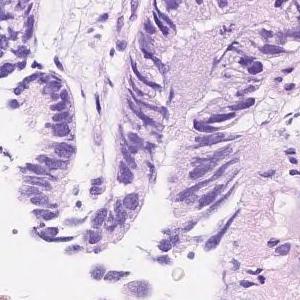
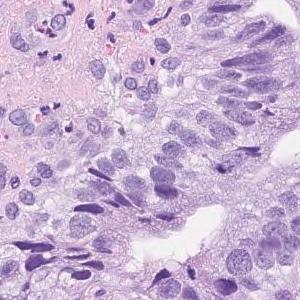
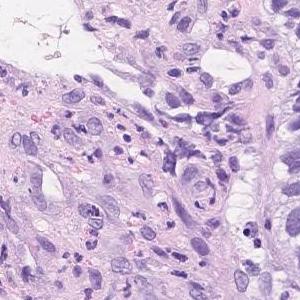
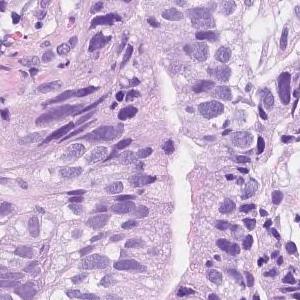
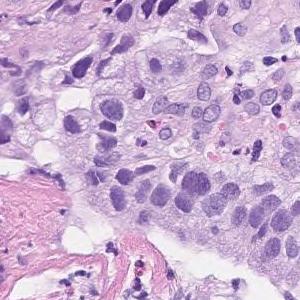
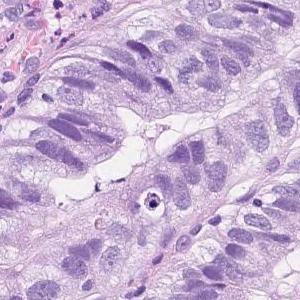
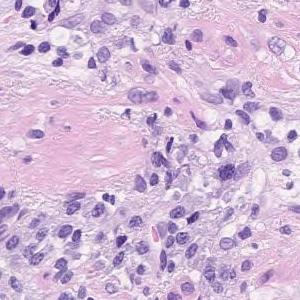
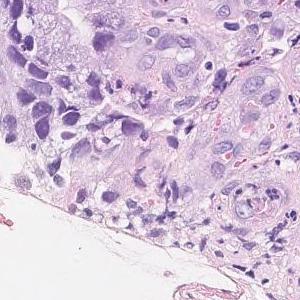
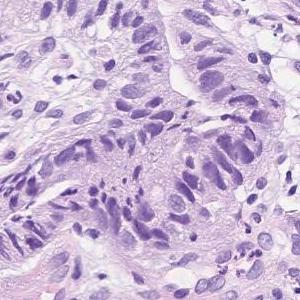
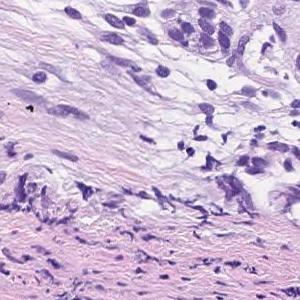
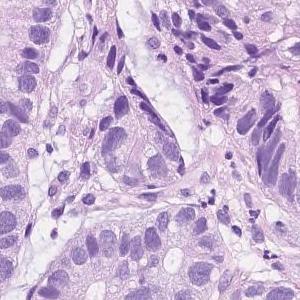
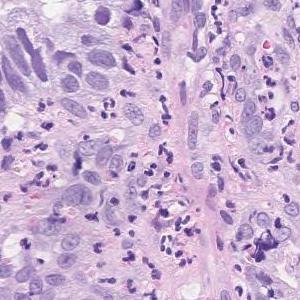
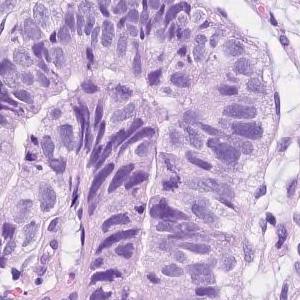
13 tiles cut from one stomach biopsy slide · each 300 × 300 pixels · H&E.
Pathology report for the biopsy slide these tiles were cut from. The findings and the diagnosis refer to the entire slide; these tiles show only part of it, possibly with non-tumor tissue, and may not show every feature named.
Atypical l cells with atypical nuclei forming solid or diffuse vesicles or small irregular atypical ducts and growing in a complex manner. moderately differentiated tubular adenocarcinoma
